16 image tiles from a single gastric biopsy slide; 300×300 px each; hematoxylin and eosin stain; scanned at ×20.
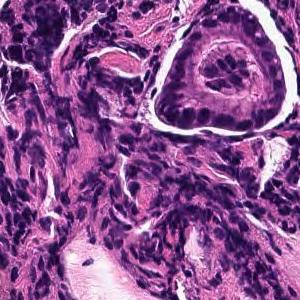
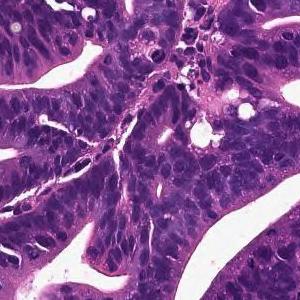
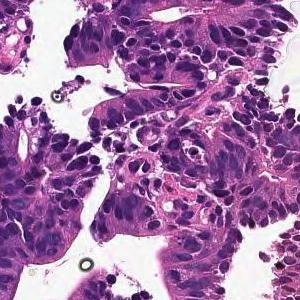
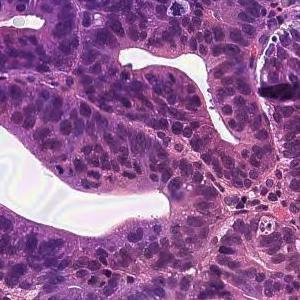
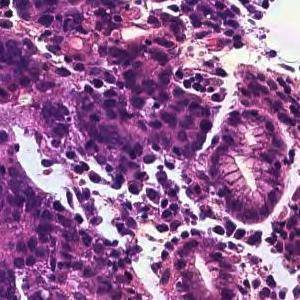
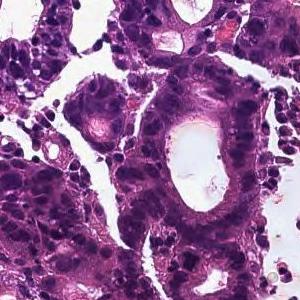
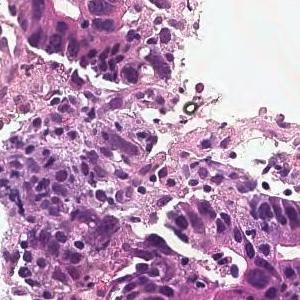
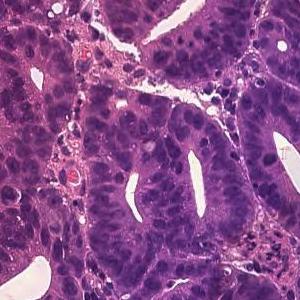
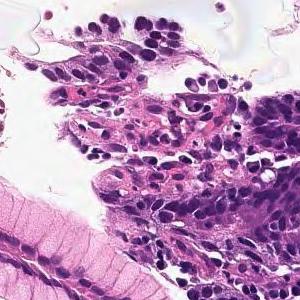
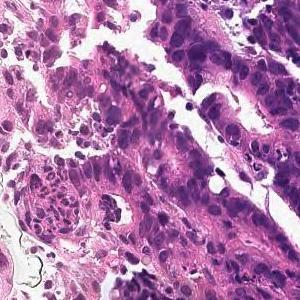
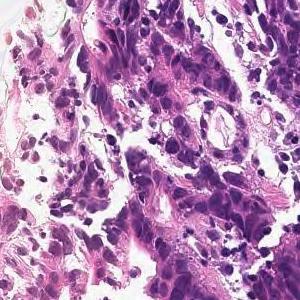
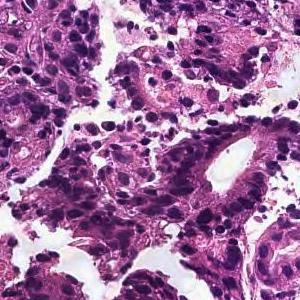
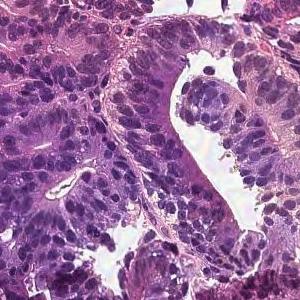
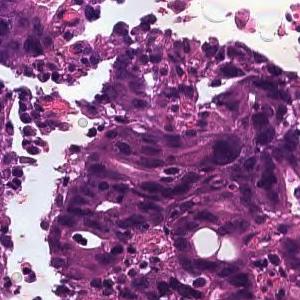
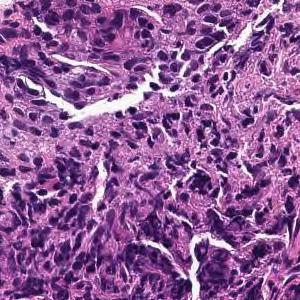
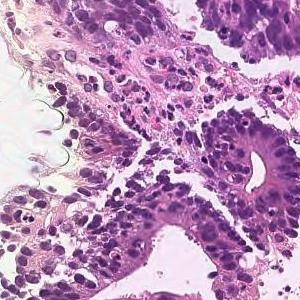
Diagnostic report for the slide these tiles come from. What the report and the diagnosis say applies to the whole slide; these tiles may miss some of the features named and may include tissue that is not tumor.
On the superficial epithelium, tumor tissue consisting of large irregular glandular ducts partially fused and infiltrated is observed. Well to moderately differentiated tubular adenocarcinoma (well differentiated tubular adenocarcinoma, moderately differentiated tubular adenocarcinoma)
Classified as well to moderately differentiated tubular adenocarcinoma.
